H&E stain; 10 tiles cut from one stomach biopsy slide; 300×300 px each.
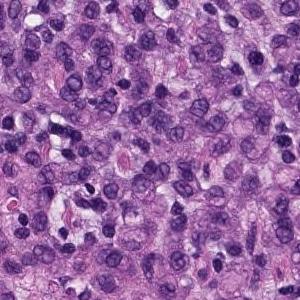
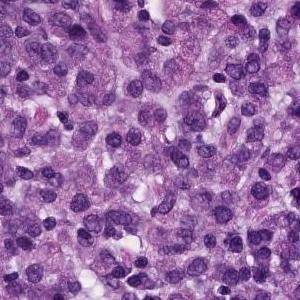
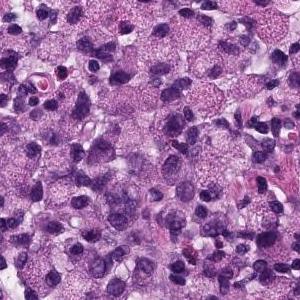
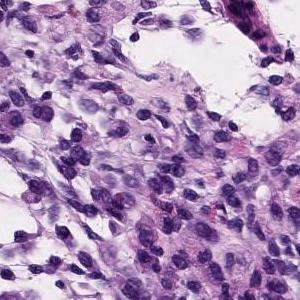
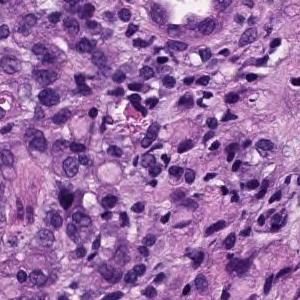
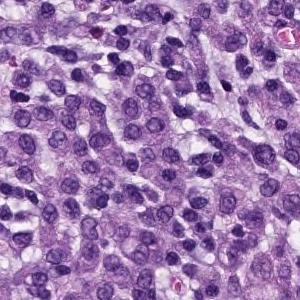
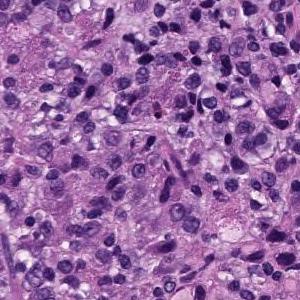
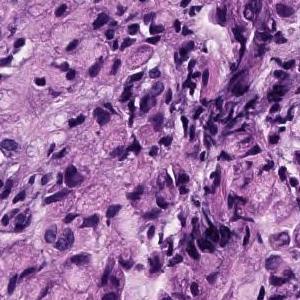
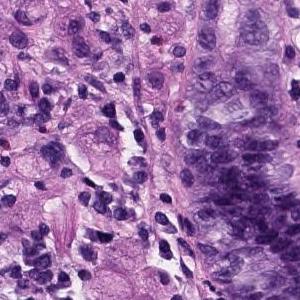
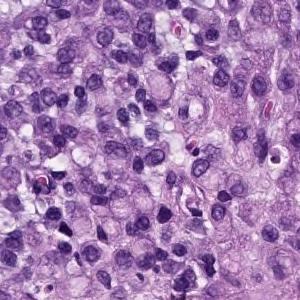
Pathology report for the slide these tiles were cut from. The findings and the diagnosis refer to the entire slide; these tiles show only part of it, possibly with non-tumor tissue, and may not show every feature named.
The superficial epithelium shows a large sheet-like shape, and some tumor tissue infiltrates with small irregular ducts. Poorly differentiated adenocarcinoma, solid-type
Histologic type: Poorly differentiated adenocarcinoma, solid type, a category of the Japanese Classification of Gastric Carcinoma; in the WHO 2019 classification it is tubular adenocarcinoma, poorly differentiated.
